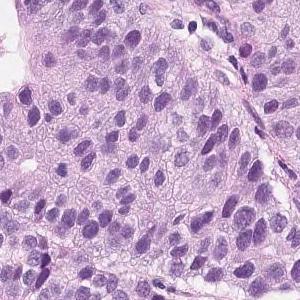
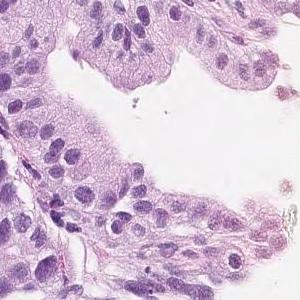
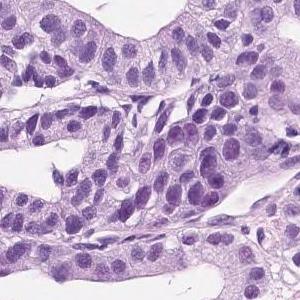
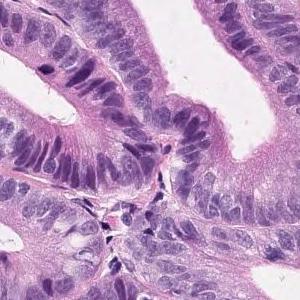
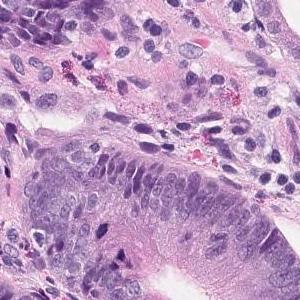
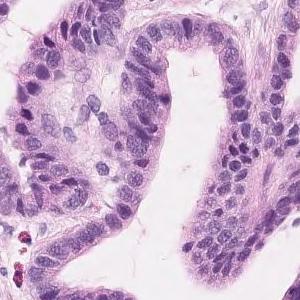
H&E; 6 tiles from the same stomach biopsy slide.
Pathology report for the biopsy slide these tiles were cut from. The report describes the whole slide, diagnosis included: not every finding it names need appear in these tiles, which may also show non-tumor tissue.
Short atypical epithelium with swelling of the nucleus shows proliferating, large and small irregular ductal structures. Well to moderately differentiated tubular adenocarcinoma (well differentiated tubular adenocarcinoma-moderately differentiated tubular adenocarcinoma)
Histologic type: Well to moderately differentiated tubular adenocarcinoma.
